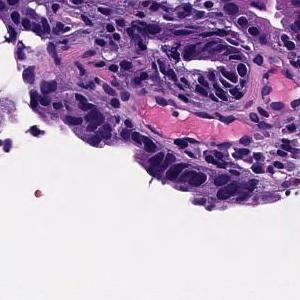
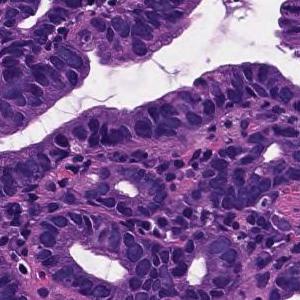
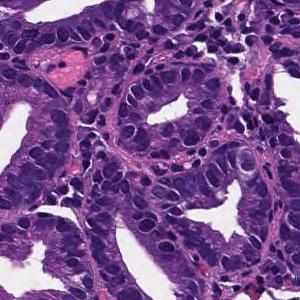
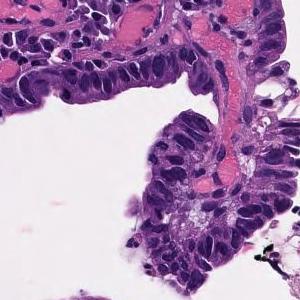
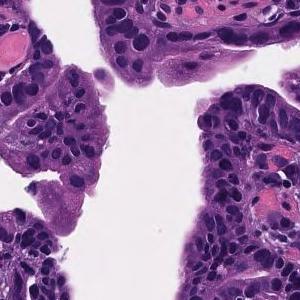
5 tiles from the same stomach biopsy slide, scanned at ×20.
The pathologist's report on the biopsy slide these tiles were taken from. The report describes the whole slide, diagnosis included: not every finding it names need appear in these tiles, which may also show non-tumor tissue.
From the superficial epithelium to the muscularis mucosae, tumor tissue consisting of medium-sized and irregular glandular ducts infiltrating is observed. Well differentiated tubular adenocarcinoma
